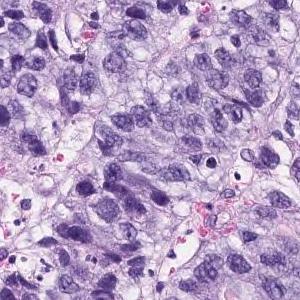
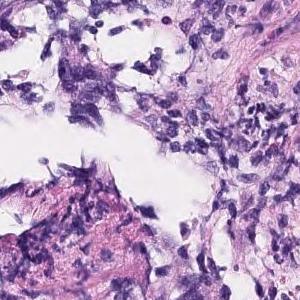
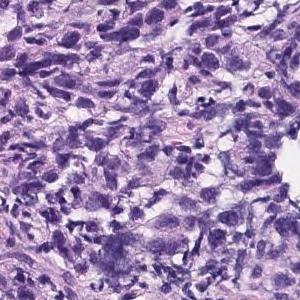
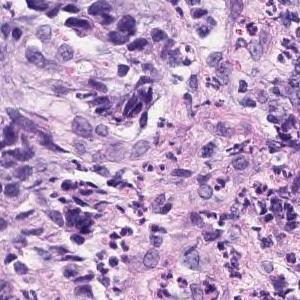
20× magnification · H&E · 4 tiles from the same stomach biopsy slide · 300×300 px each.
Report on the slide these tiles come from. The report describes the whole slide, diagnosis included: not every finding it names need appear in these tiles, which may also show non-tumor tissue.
The superficial epithelium shows a large sheet-like shape, and some tumor tissue infiltrates with small irregular ducts. Poorly differentiated adenocarcinoma, solid-type
Histological subtype: Poorly differentiated adenocarcinoma, solid type (Japanese Classification of Gastric Carcinoma). The WHO 2019 equivalent is tubular adenocarcinoma, poorly differentiated.
